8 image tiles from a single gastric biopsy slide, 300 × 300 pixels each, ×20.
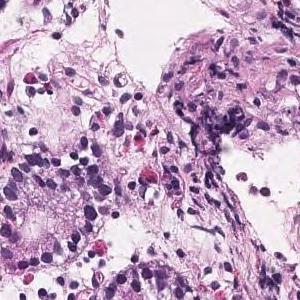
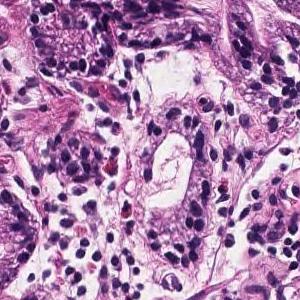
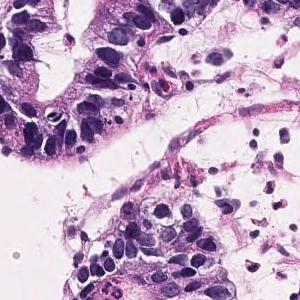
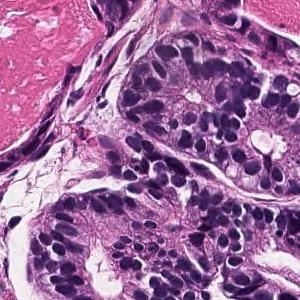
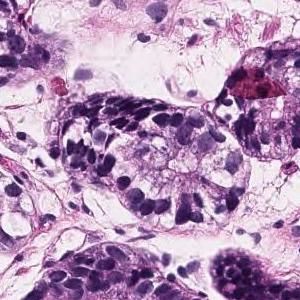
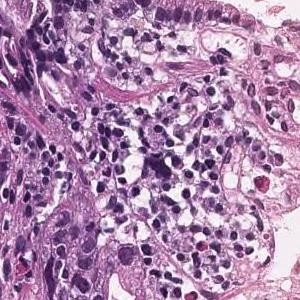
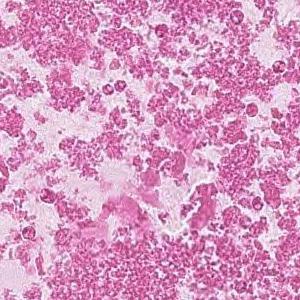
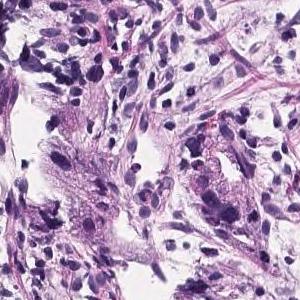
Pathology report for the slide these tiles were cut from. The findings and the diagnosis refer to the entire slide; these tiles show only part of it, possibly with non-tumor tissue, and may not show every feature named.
Tumor tissue consisting of medium-sized and irregular ducts is observed infiltrating in the superficial epithelium. Tumor cells are highly columnar, with nuclei aligned basolaterally and polarized. Well differentiated tubular adenocarcinoma.
